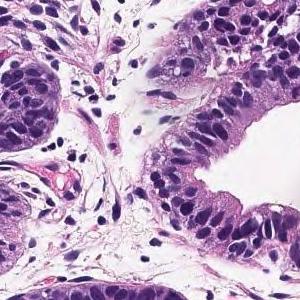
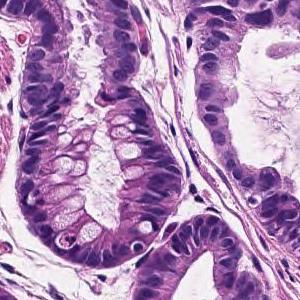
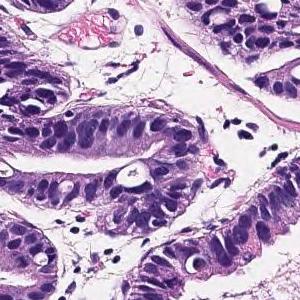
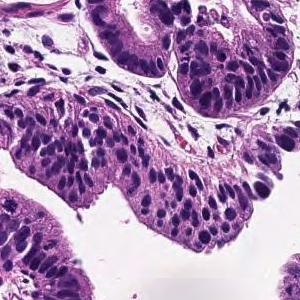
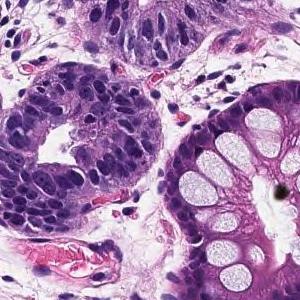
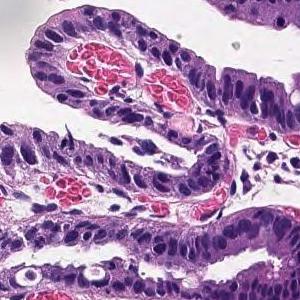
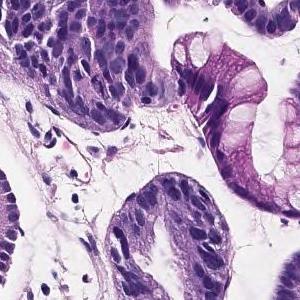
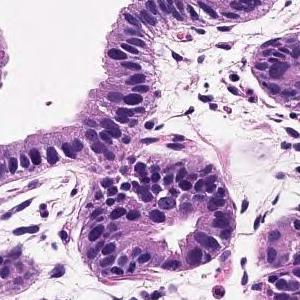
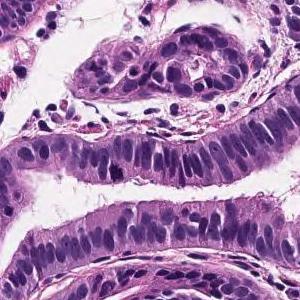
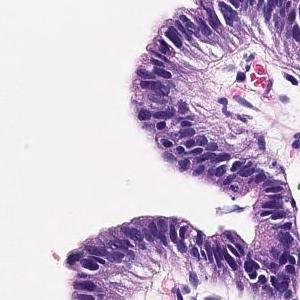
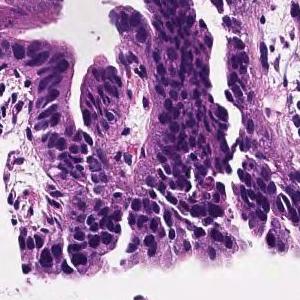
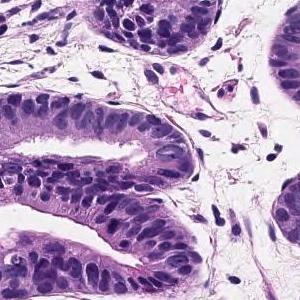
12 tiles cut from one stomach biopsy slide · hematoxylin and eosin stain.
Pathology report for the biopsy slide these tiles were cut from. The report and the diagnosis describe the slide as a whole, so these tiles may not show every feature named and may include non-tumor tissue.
Tumor cells are large, highly columnar, large club-shaped nuclei, and are associated with chromatin aggregation. Papillary adenocarcinoma.
